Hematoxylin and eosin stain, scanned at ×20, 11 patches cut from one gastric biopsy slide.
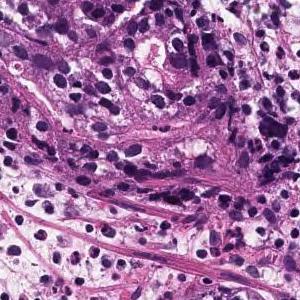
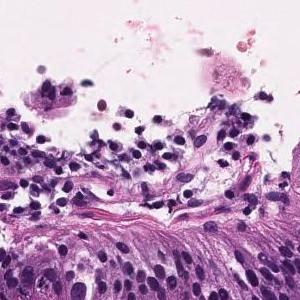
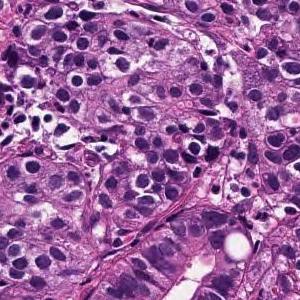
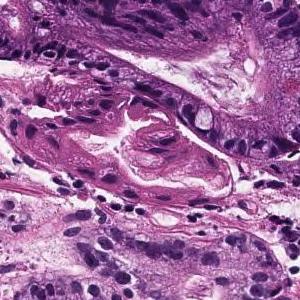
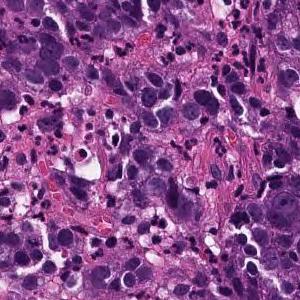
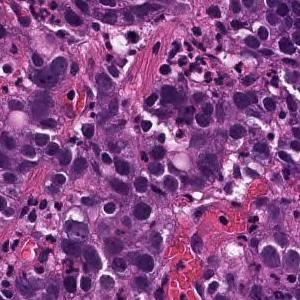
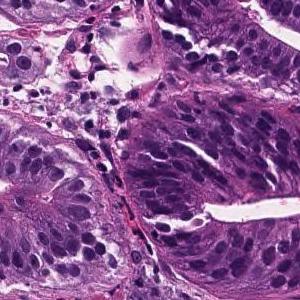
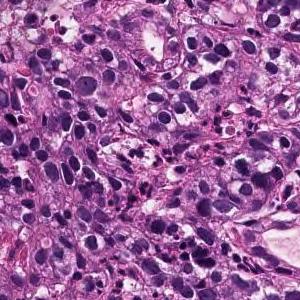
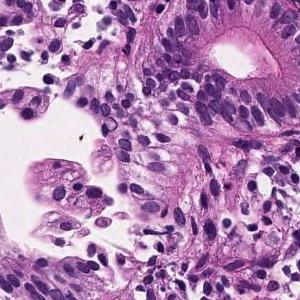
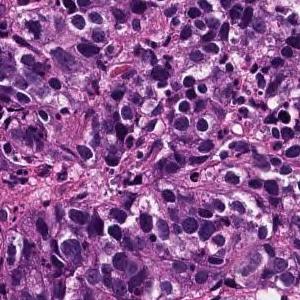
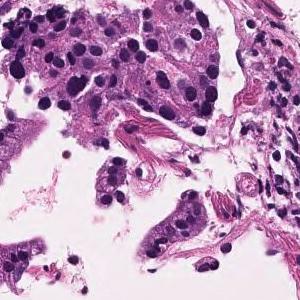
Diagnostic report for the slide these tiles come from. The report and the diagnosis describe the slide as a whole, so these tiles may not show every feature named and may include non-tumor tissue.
In the superficial epithelium, tumor tissue that invades by forming medium-sized to small, irregular ducts is observed. moderately differentiated tubular adenocarcinoma.
